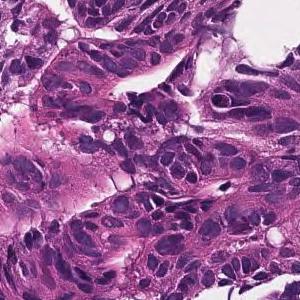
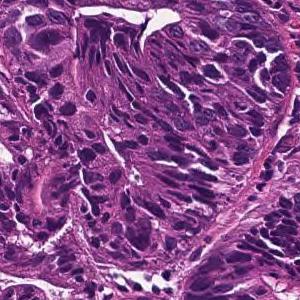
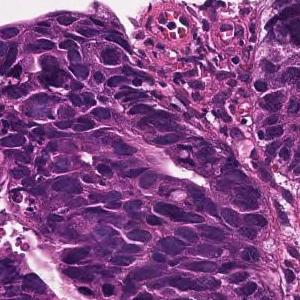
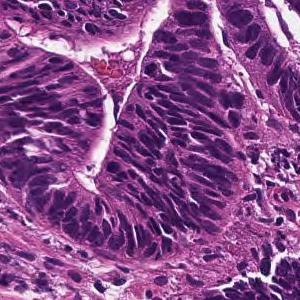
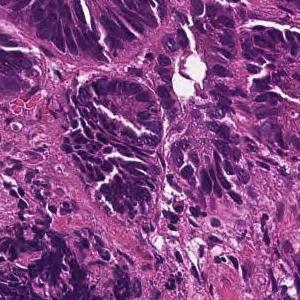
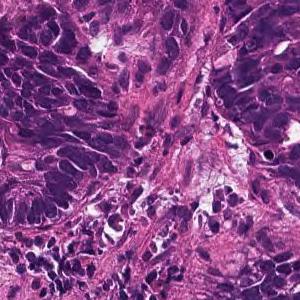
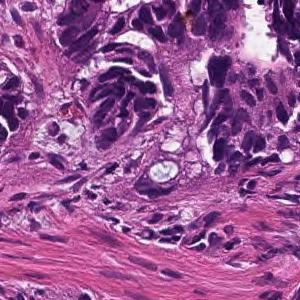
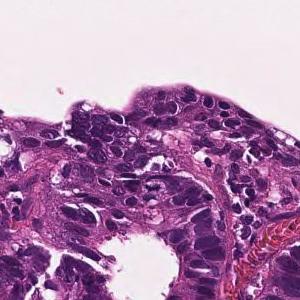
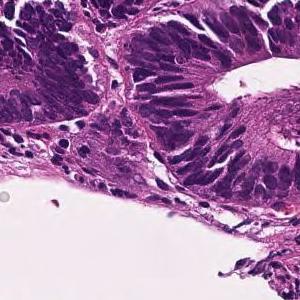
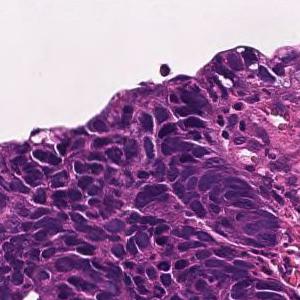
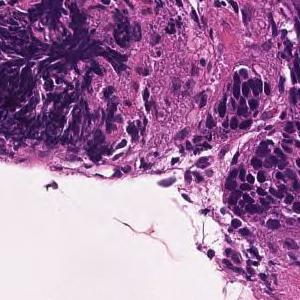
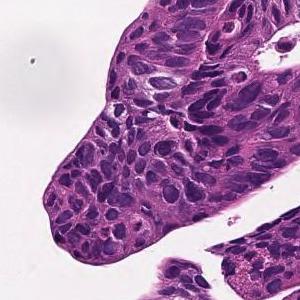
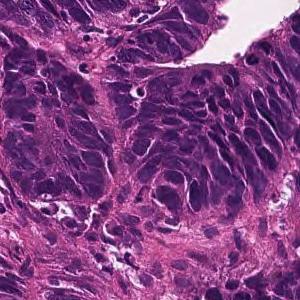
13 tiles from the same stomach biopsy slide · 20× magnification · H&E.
Report on the slide these tiles come from. The report and the diagnosis cover the entire slide, so not every feature they name need be visible here, and some tissue shown may not be tumor.
In the superficial epithelium, tumor tissue that invades by forming medium-sized to small, irregular ducts is observed. moderately differentiated tubular adenocarcinoma.
